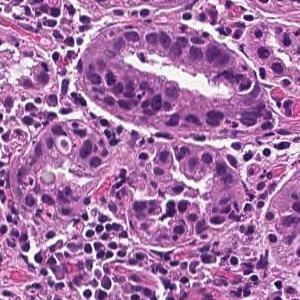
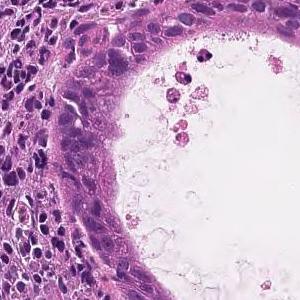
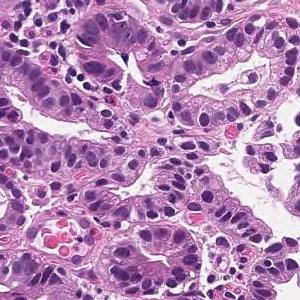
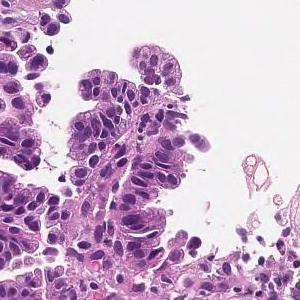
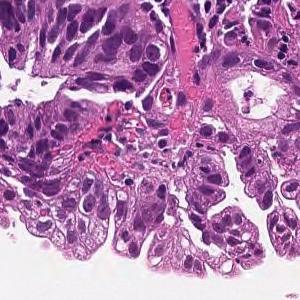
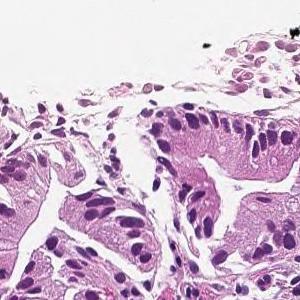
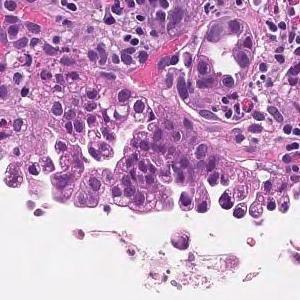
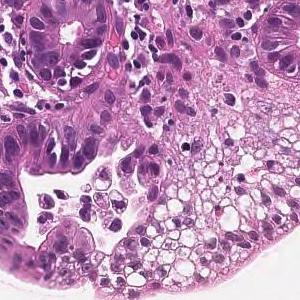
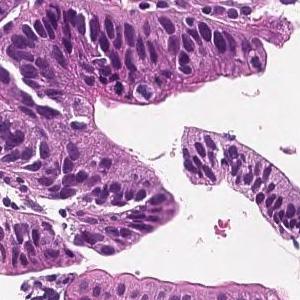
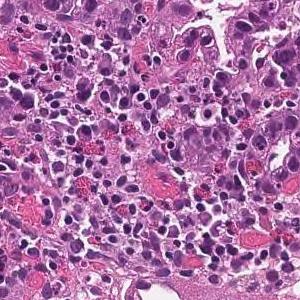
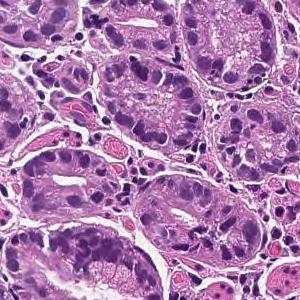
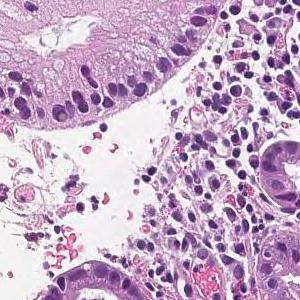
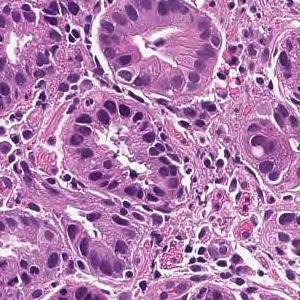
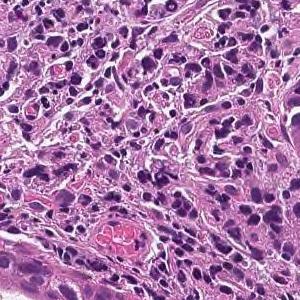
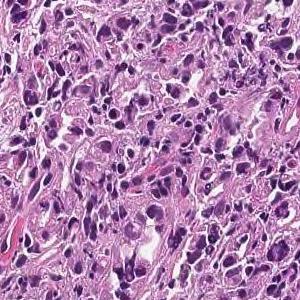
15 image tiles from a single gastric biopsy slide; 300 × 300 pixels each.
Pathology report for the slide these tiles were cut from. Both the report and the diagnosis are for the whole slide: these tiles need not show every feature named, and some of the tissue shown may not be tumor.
On the superficial epithelium, tumor tissue consisting of large irregular glandular ducts partially fused and infiltrated is observed. Well to moderately differentiated tubular adenocarcinoma (well differentiated tubular adenocarcinoma, moderately differentiated tubular adenocarcinoma)
Histological subtype: Well to moderately differentiated tubular adenocarcinoma.
